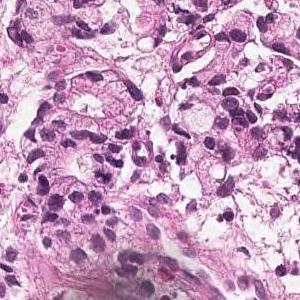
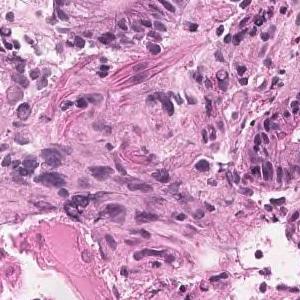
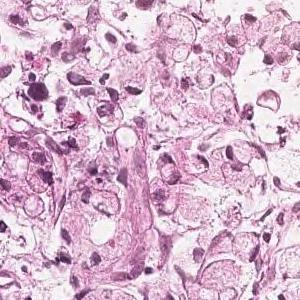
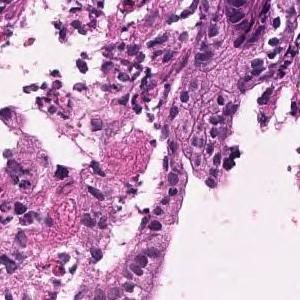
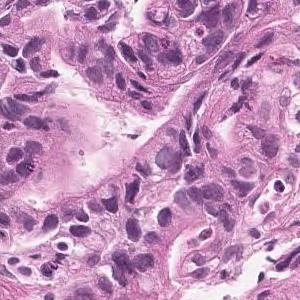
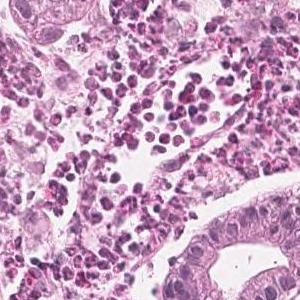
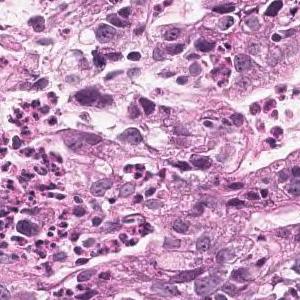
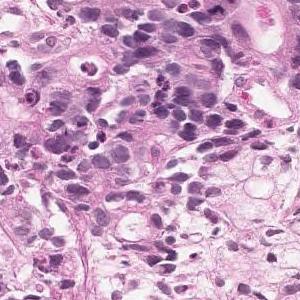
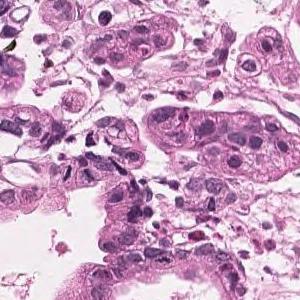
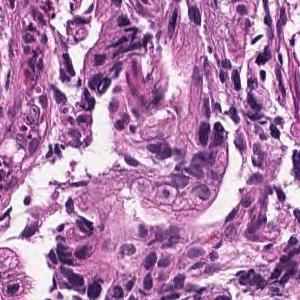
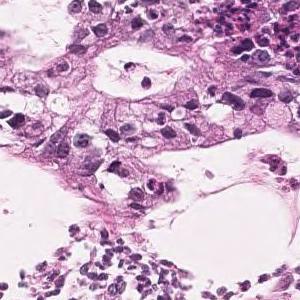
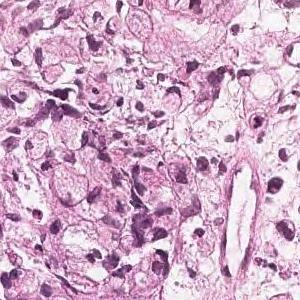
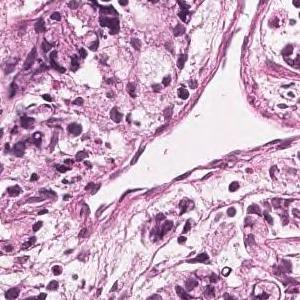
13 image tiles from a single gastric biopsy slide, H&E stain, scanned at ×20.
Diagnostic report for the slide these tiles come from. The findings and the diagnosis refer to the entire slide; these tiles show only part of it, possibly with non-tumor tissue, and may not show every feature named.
In the superficial epithelium, medium to small irregular gland ducts are formed, and in some cases, the ducts are fused to show solid alveolar lesions and infiltrating tumor tissue is observed. Moderately to poorly differentiated adenocarcinoma
